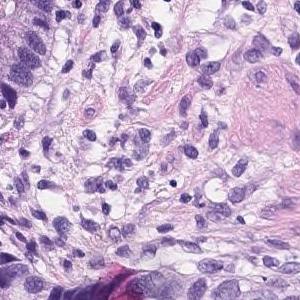
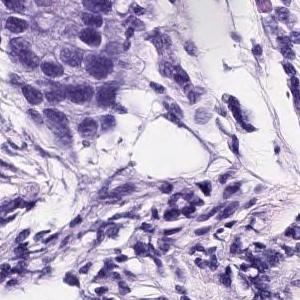
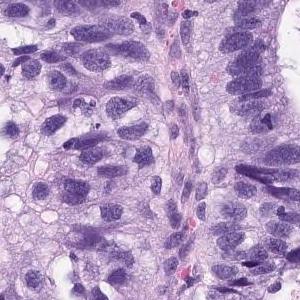
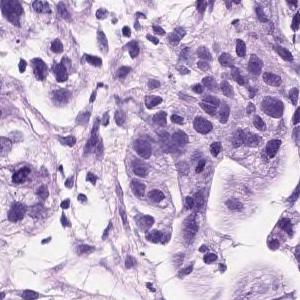
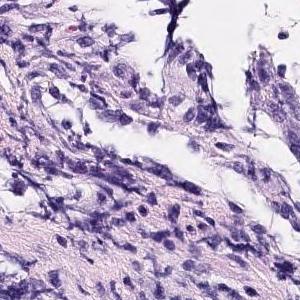
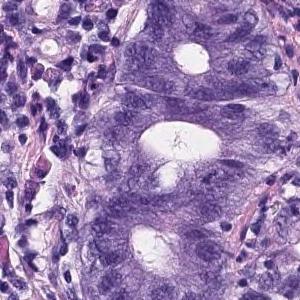
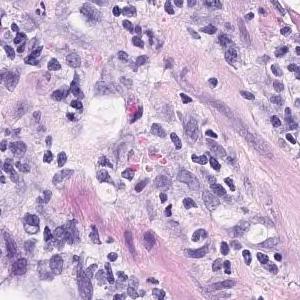
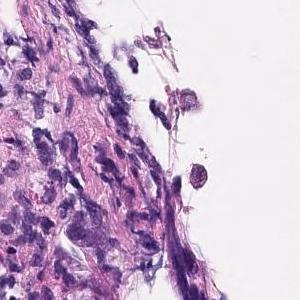
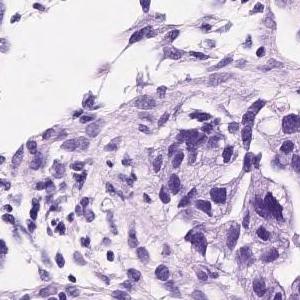
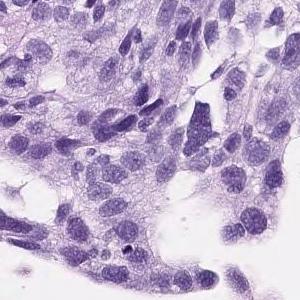
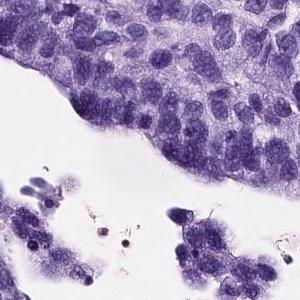
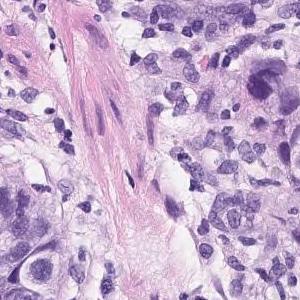
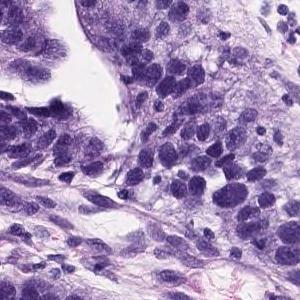
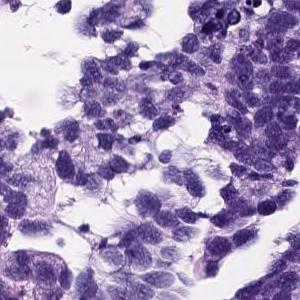
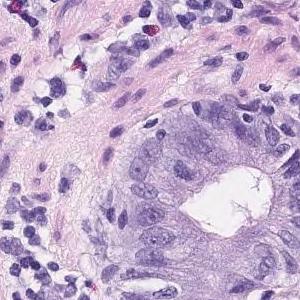
15 image tiles from a single gastric biopsy slide · each 300 × 300 pixels · scanned at ×20 · H&E stain.
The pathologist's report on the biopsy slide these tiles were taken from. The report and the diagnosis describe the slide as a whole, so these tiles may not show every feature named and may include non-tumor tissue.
On the superficial epithelium, tumor tissue consisting of medium to small irregular tubules partially fused and proliferated is observed. moderately differentiated tubular adenocarcinoma
